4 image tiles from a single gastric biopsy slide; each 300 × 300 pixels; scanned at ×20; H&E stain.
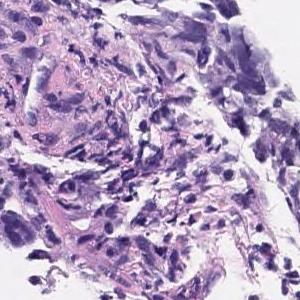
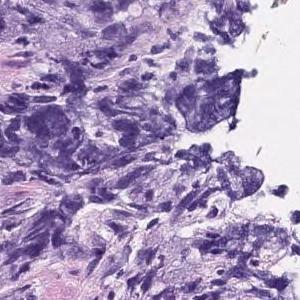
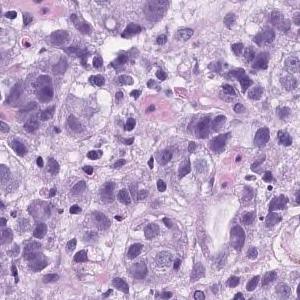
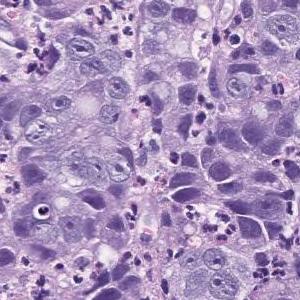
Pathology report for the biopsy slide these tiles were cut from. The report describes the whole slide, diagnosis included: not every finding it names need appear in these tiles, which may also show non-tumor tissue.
Atypical l cells with atypical nuclei forming solid vesicles or small irregular atypical ducts that proliferate in a complex manner. poorly differentiated adenocarcinoma, solid type, moderately differentiated tubular adenocarcinoma
The solid type named here is a Japanese Classification of Gastric Carcinoma category; WHO 2019 calls it tubular adenocarcinoma, poorly differentiated.
